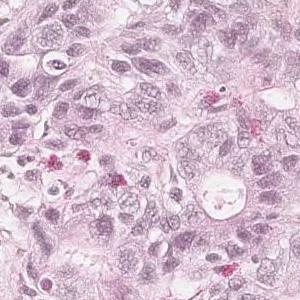
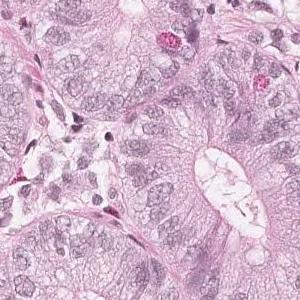
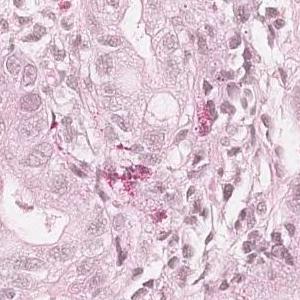
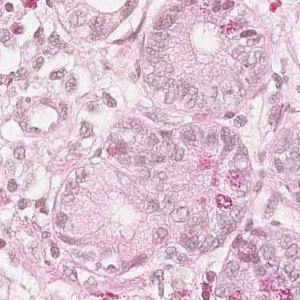
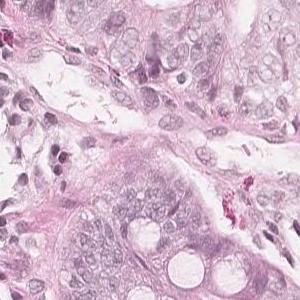
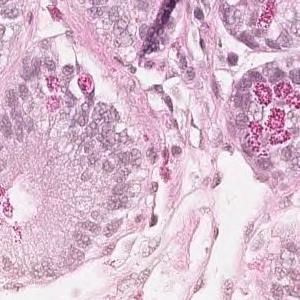
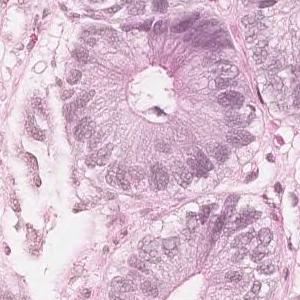
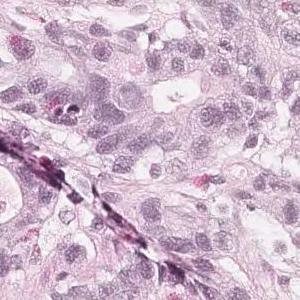
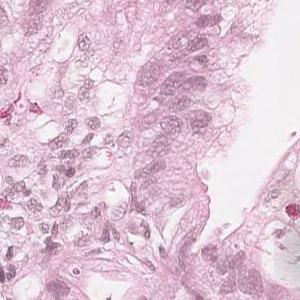
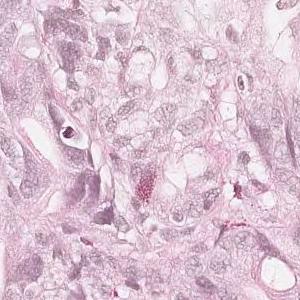
10 patches cut from one gastric biopsy slide; H&E.
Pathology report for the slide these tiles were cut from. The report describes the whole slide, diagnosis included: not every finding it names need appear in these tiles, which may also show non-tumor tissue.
Medium to small, irregular glandular ducts are formed in the superficial epithelium, and in some cases, the glandular ducts are fused to show solid alveolar lesions and infiltrating tumor tissue is observed. Moderately to poorly differentiated adenocarcinoma.
